H&E, ×20, 10 image tiles from a single gastric biopsy slide, each 300 × 300 pixels.
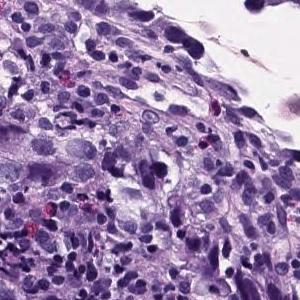
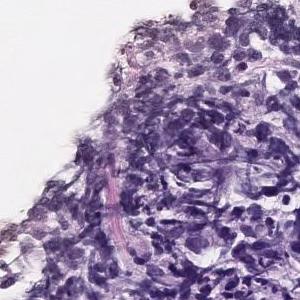
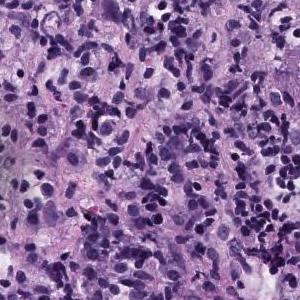
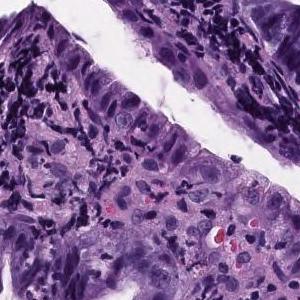
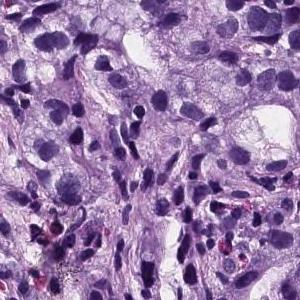
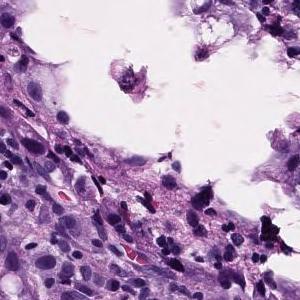
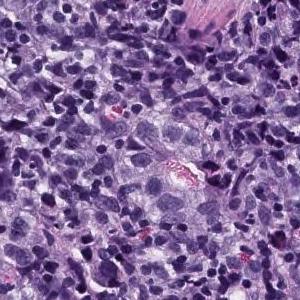
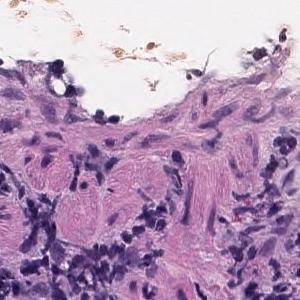
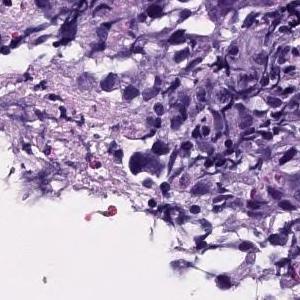
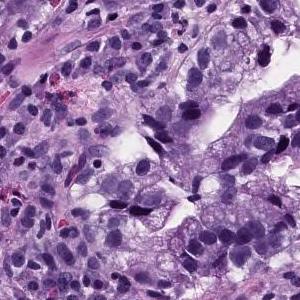
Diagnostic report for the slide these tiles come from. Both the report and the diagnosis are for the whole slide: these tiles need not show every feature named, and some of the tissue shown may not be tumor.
Atypical epithelial cells infiltrating and proliferating while forming solid or cord-like fused glandular cavities of different sizes is observed. moderately differentiated tubular adenocarcinoma, poorly differentiated adenocarcinoma.
Tumor subtype: moderately to poorly differentiated adenocarcinoma.
